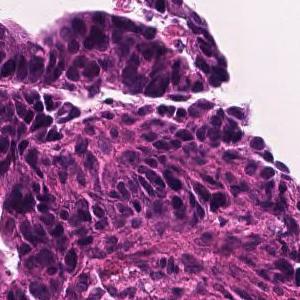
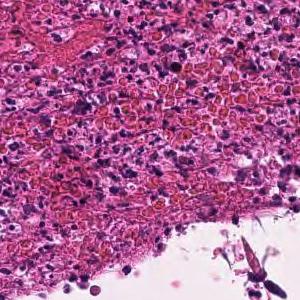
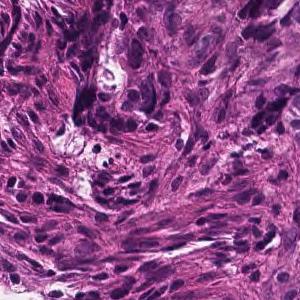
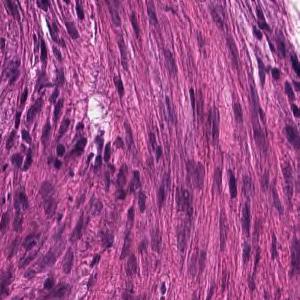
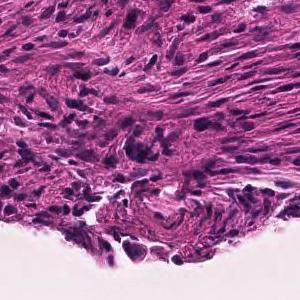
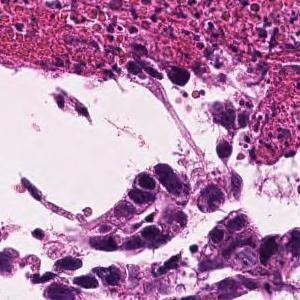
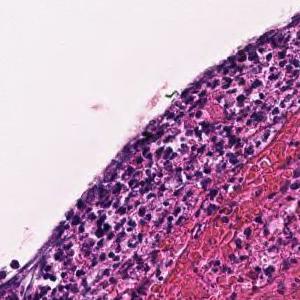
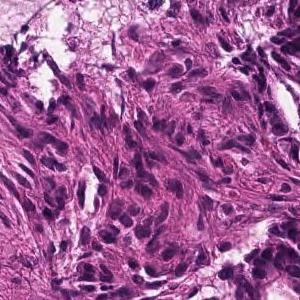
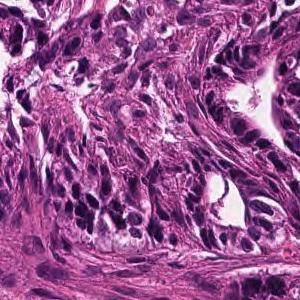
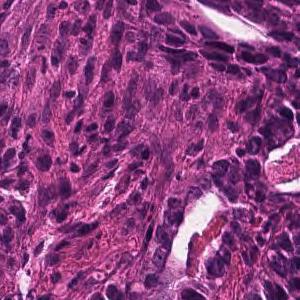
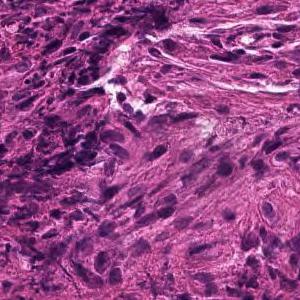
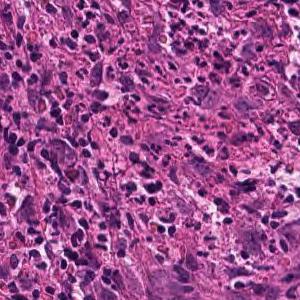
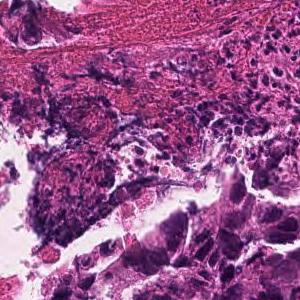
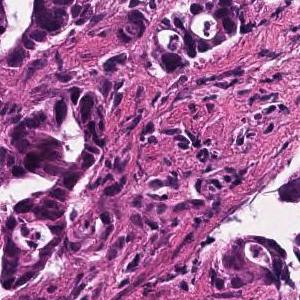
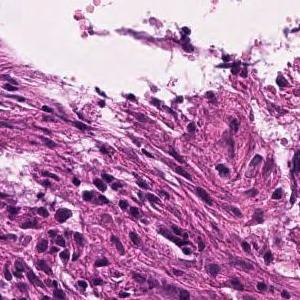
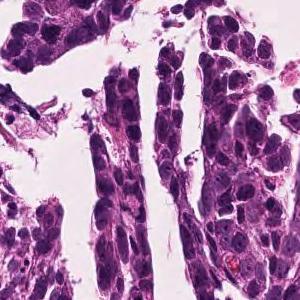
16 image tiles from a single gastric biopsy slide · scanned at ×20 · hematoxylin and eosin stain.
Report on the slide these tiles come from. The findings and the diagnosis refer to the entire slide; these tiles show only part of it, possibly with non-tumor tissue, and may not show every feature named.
In the superficial epithelium, tumor tissue that invades by forming medium-sized to small, irregular ducts is observed. moderately differentiated tubular adenocarcinoma.
